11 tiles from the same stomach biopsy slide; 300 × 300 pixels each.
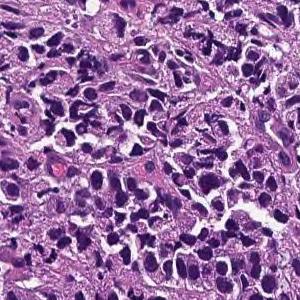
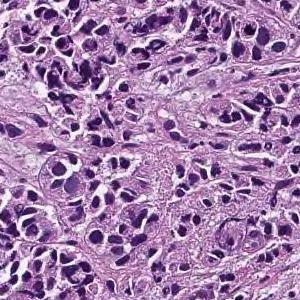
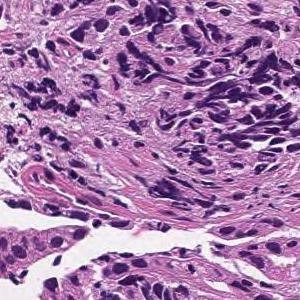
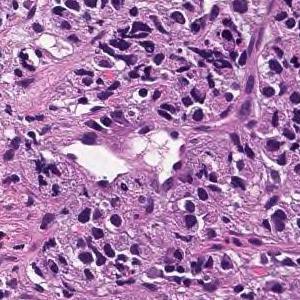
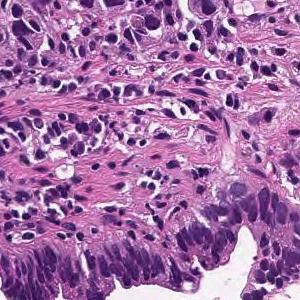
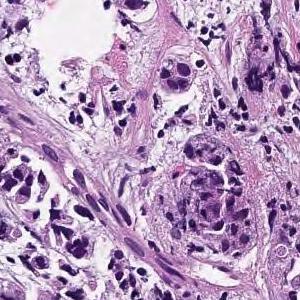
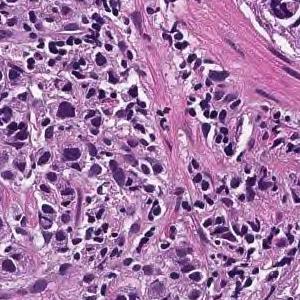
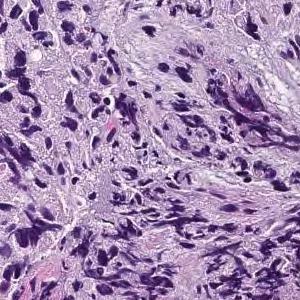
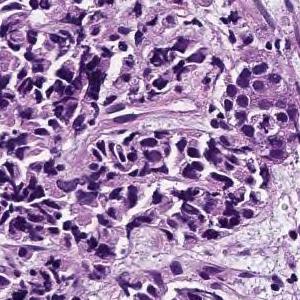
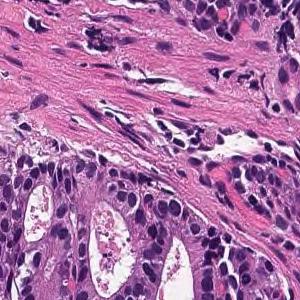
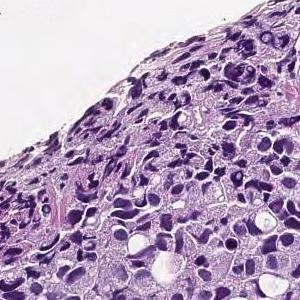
Report on the slide these tiles come from. What the report and the diagnosis say applies to the whole slide; these tiles may miss some of the features named and may include tissue that is not tumor.
The lamina propria shows small cord-like tumor tissue that infiltrates with fibrosis and marked chronic inflammatory cell infiltration. Poorly differentiated adenocarcinoma, non-solid type
"Non-solid type" is a category of the Japanese Classification of Gastric Carcinoma.
